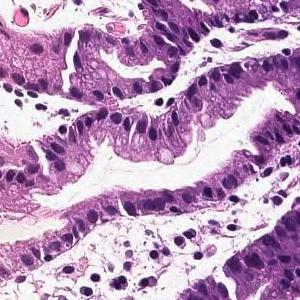
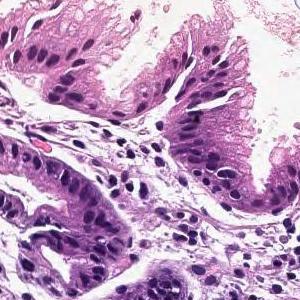
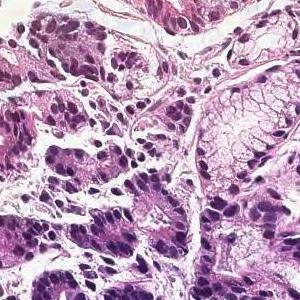
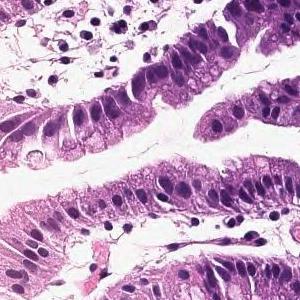
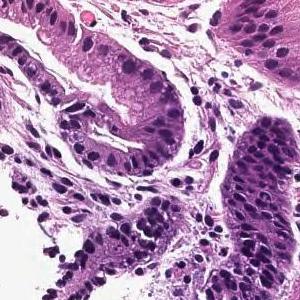
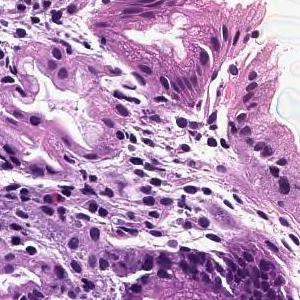
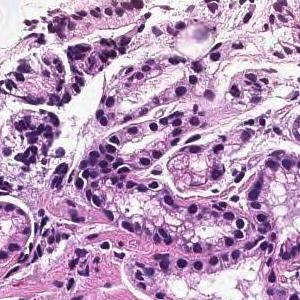
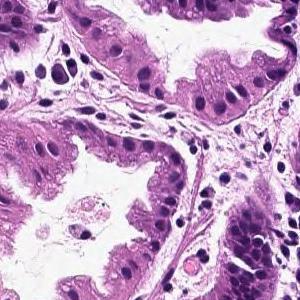
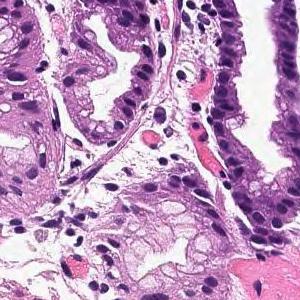
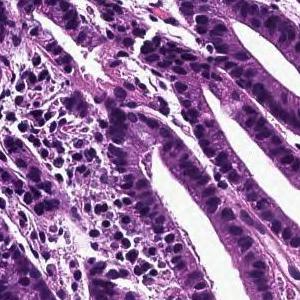
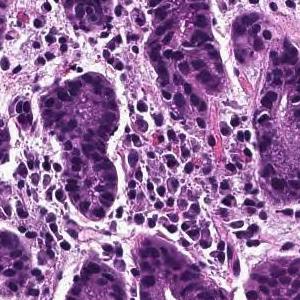
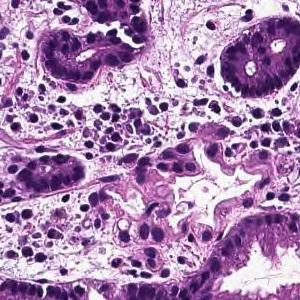
20× magnification · H&E stain · 12 image tiles from a single gastric biopsy slide · each 300 × 300 pixels.
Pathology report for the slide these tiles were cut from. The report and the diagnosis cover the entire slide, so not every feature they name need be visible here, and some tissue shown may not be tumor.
In the superficial epithelium, tumor tissue that invades by forming medium-sized to small, irregular ducts is observed. moderately differentiated tubular adenocarcinoma.
